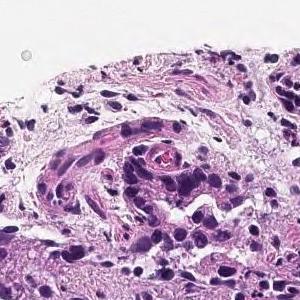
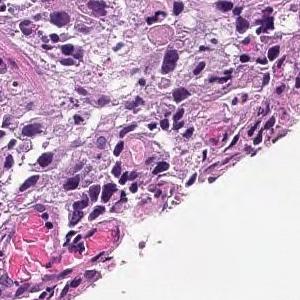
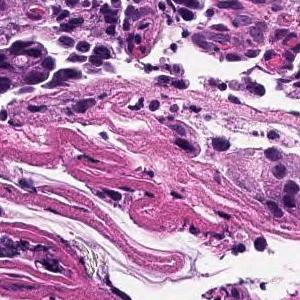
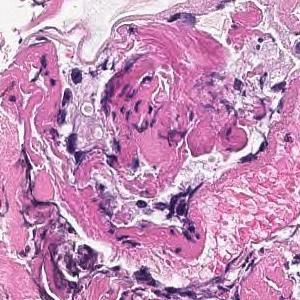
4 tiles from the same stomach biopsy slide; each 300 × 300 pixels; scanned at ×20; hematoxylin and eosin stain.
Diagnostic report for the slide these tiles come from. The report describes the whole slide, diagnosis included: not every finding it names need appear in these tiles, which may also show non-tumor tissue.
Tumor tissue consisting of cord-like or small, irregular glandular ducts fused and infiltrated is observed in the superficial epithelium. Poorly differentiated adenocarcinoma, non-solid type
The term "non-solid type" comes from the Japanese Classification of Gastric Carcinoma.
